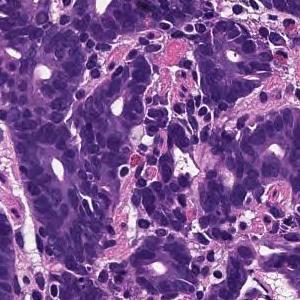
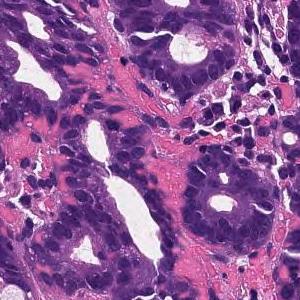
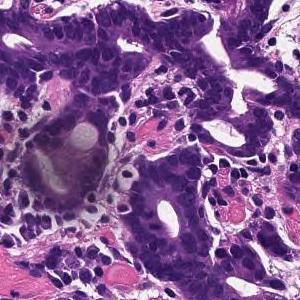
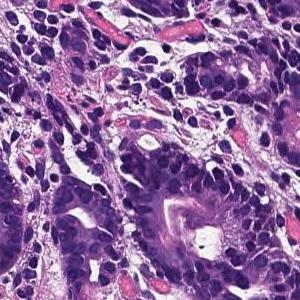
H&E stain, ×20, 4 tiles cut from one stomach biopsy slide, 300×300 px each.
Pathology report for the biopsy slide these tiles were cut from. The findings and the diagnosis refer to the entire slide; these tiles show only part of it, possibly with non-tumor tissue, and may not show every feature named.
On the superficial epithelium, tumor tissue is found in which medium-sized irregular gland ducts fuse with each other and infiltrate. moderately differentiated tubular adenocarcinoma
